×20; H&E; 6 tiles from the same stomach biopsy slide.
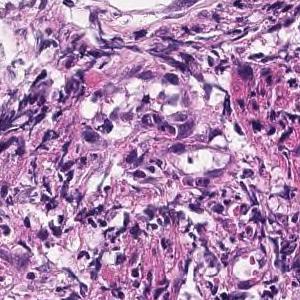
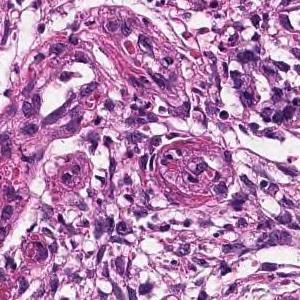
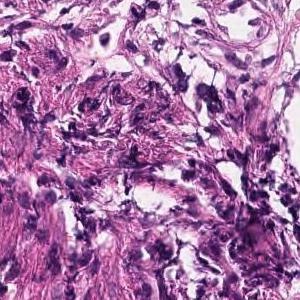
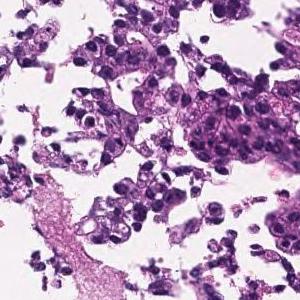
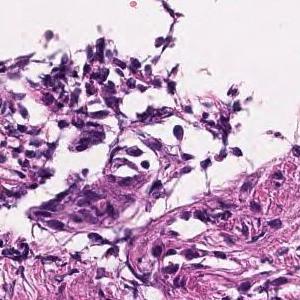
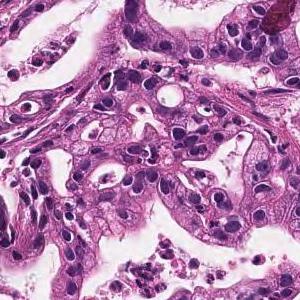
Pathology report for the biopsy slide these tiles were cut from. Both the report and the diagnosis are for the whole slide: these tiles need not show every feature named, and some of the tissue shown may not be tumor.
In the superficial epithelium, medium to small, irregular gland ducts are formed, and in some cases, the gland ducts are fused to show solid alveolar lesions and infiltrating tumor tissue is observed. Moderately to poorly differentiated adenocarcinoma.
